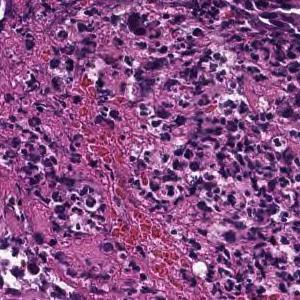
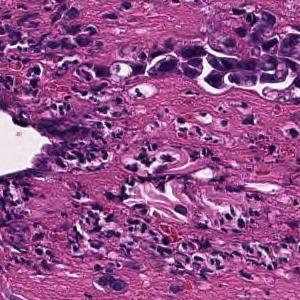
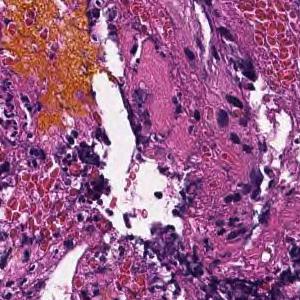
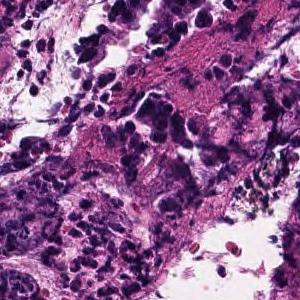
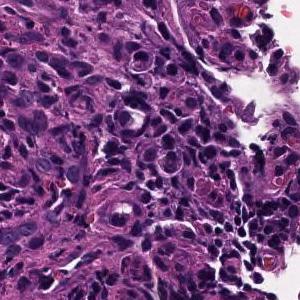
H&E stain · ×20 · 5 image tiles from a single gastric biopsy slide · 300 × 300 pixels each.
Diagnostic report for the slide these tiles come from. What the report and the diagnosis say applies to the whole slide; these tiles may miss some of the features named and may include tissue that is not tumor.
Tumor tissue consisting of cord-like or small, irregular glandular ducts fused and infiltrated is observed in the superficial epithelium. Poorly differentiated adenocarcinoma, non-solid type
The non-solid type named here is a Japanese Classification of Gastric Carcinoma category.
